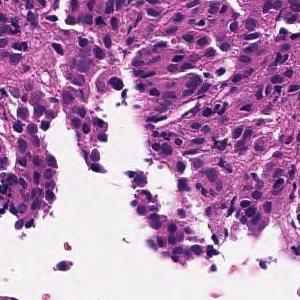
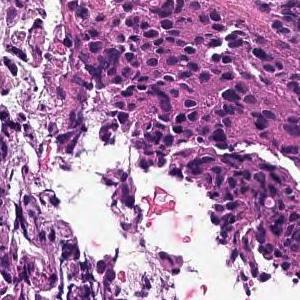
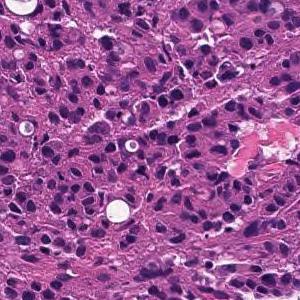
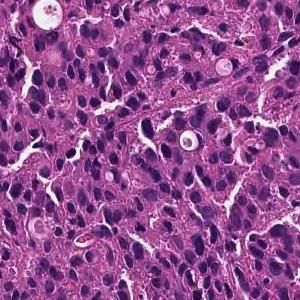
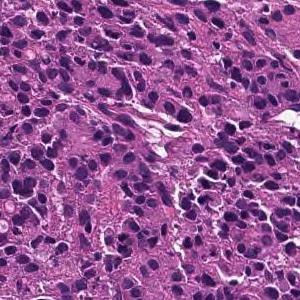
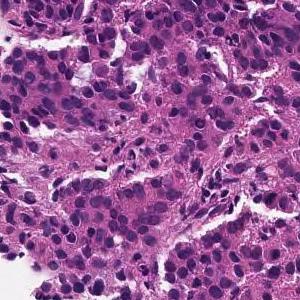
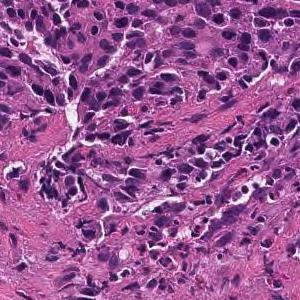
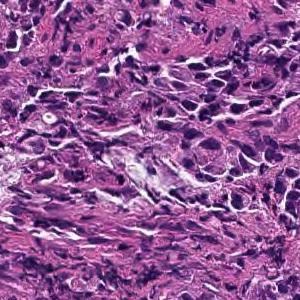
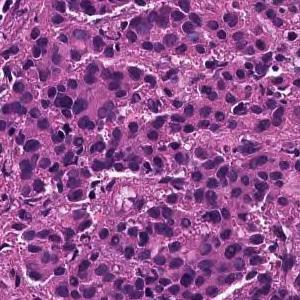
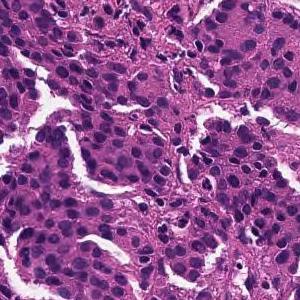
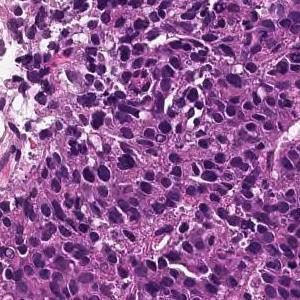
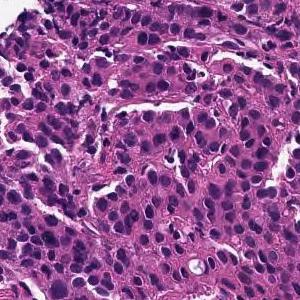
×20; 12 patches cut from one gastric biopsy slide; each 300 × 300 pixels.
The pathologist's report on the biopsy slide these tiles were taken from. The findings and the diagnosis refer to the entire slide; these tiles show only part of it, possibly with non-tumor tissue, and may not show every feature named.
The superficial epithelium shows a large sheet-like shape, and some tumor tissue infiltrates with small irregular ducts. Poorly differentiated adenocarcinoma, solid-type
Tumor subtype: poorly differentiated adenocarcinoma, solid type. This name comes from the Japanese Classification of Gastric Carcinoma; the WHO 2019 classification calls it tubular adenocarcinoma, poorly differentiated.
